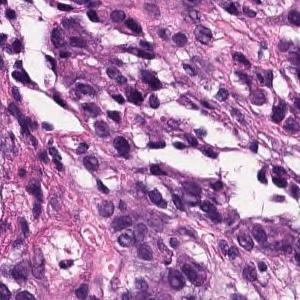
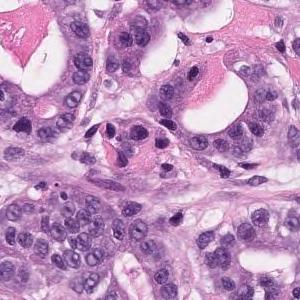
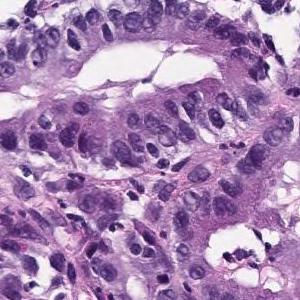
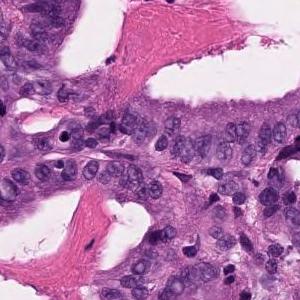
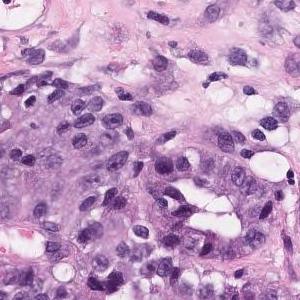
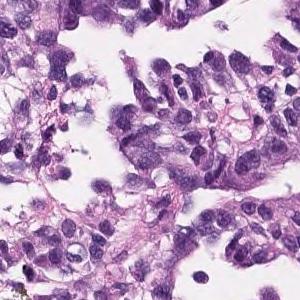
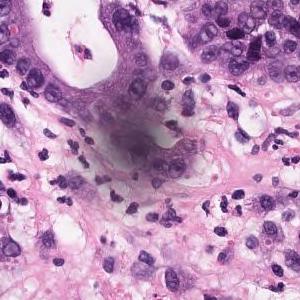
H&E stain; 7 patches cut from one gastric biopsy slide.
Pathology report for the biopsy slide these tiles were cut from. Both the report and the diagnosis are for the whole slide: these tiles need not show every feature named, and some of the tissue shown may not be tumor.
In the superficial epithelium, tumor tissue that invades by forming medium-sized to small, irregular ducts is observed. Moderately differentiated adenocarcinoma.
Subtype: Moderately differentiated tubular adenocarcinoma.
